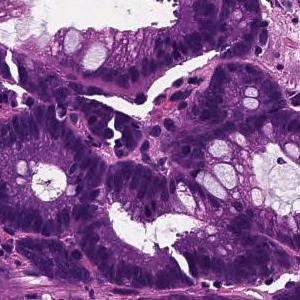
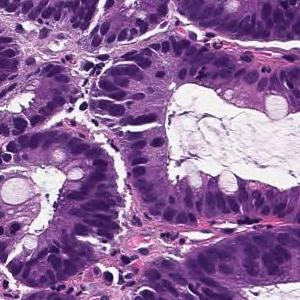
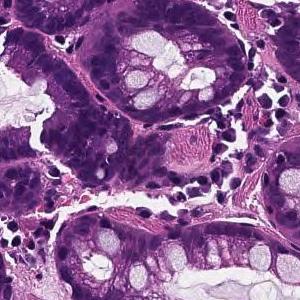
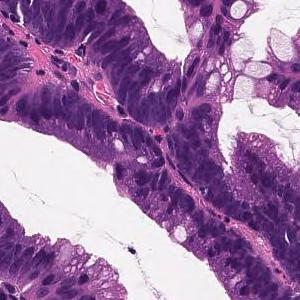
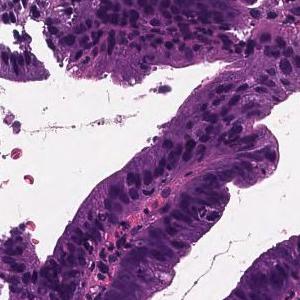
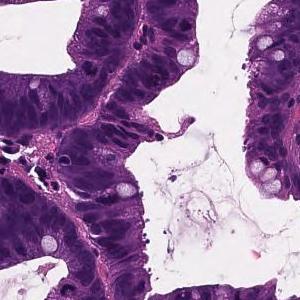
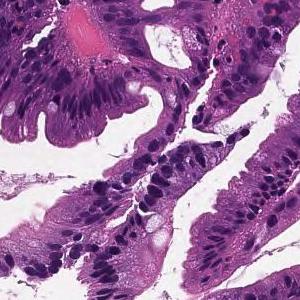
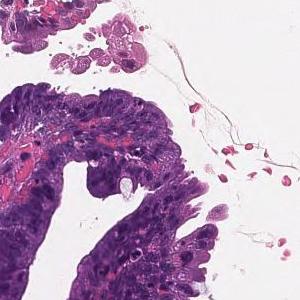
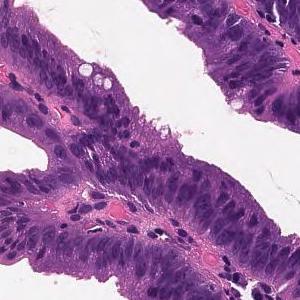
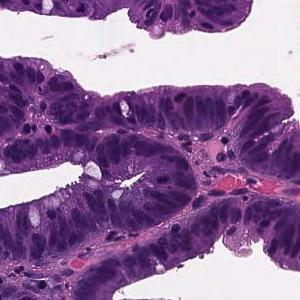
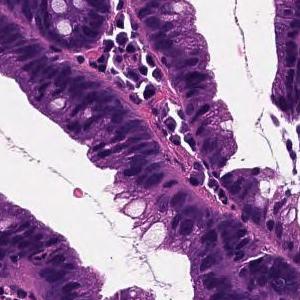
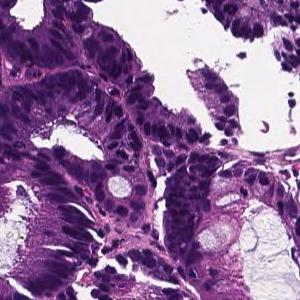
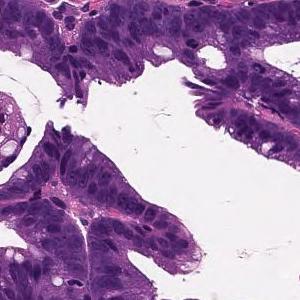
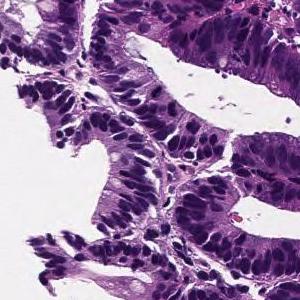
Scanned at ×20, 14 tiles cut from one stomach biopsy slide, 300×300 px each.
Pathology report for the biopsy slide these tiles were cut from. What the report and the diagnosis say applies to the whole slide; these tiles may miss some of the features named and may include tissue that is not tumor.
moderately differentiated tubular adenocarcinoma infiltrates in the submucosa massively.
Histological subtype: Moderately differentiated tubular adenocarcinoma.
